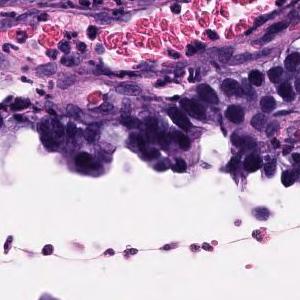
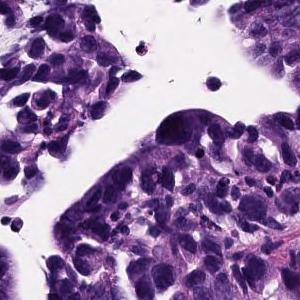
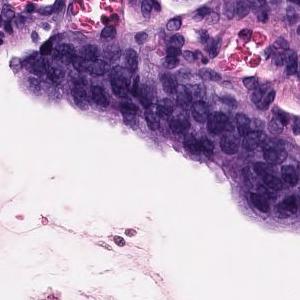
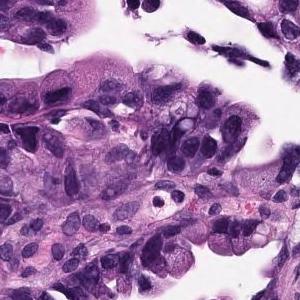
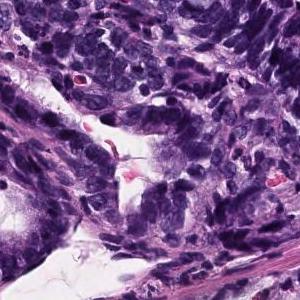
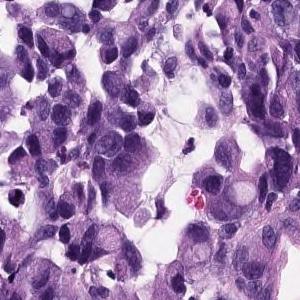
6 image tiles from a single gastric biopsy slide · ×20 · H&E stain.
Pathology report for the slide these tiles were cut from. The report and the diagnosis cover the entire slide, so not every feature they name need be visible here, and some tissue shown may not be tumor.
Atypical epithelium proliferating showing villus construction and irregular gland duct construction is observed. Moderately differentiated tubular adenocarcinoma.
